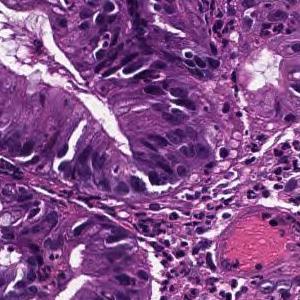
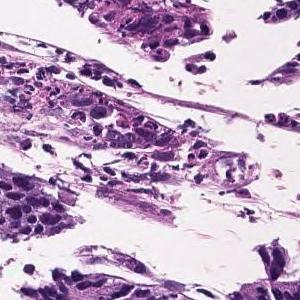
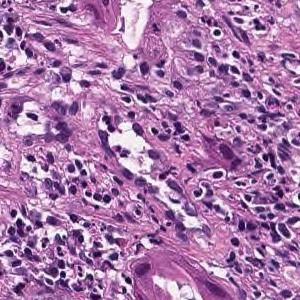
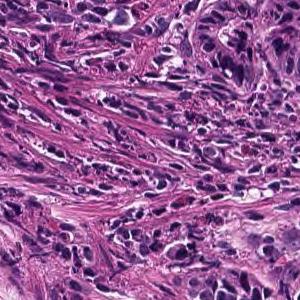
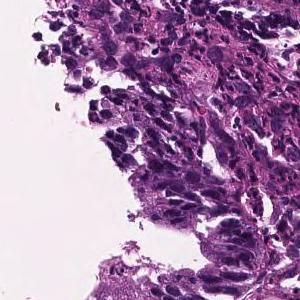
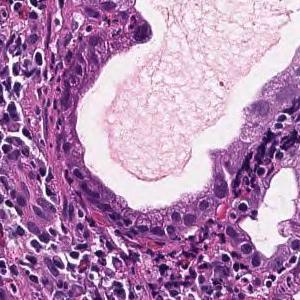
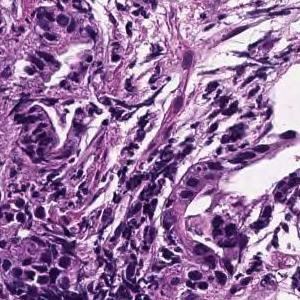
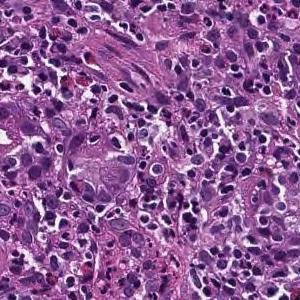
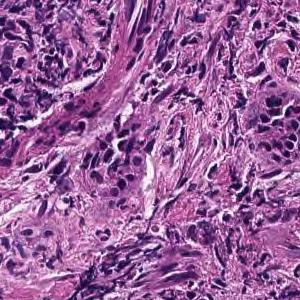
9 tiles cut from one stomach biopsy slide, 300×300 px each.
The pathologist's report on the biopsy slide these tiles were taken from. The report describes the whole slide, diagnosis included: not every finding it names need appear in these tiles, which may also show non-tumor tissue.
On the superficial epithelium, tumor tissue consisting of large, irregular glandular ducts partially fused and infiltrated is observed. Well to moderately differentiated tubular adenocarcinoma (well differentiated tubular adenocarcinoma, moderately differentiated tubular adenocarcinoma)
Histological subtype: Well to moderately differentiated tubular adenocarcinoma.
